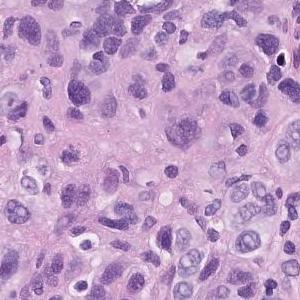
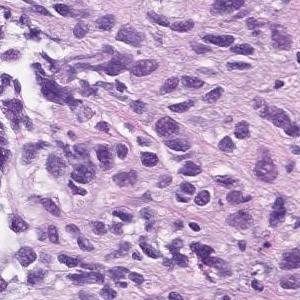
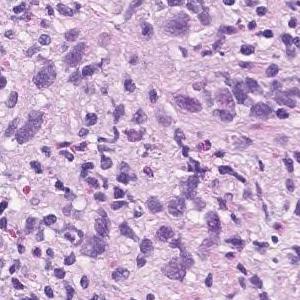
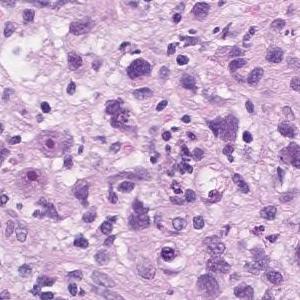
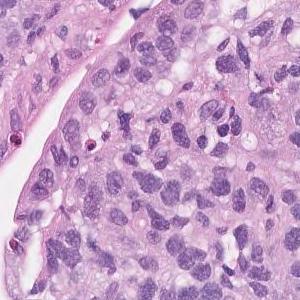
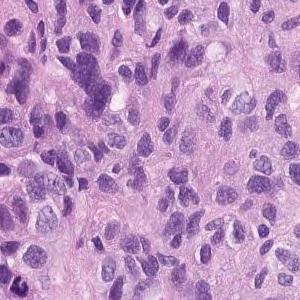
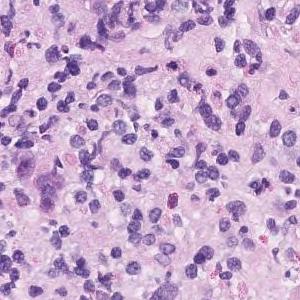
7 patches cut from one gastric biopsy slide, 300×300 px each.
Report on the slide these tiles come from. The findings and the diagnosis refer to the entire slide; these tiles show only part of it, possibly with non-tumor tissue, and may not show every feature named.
Atypical l cells with atypical nuclei under the mucosa growing in isolation and scattered. Poorly differentiated adenocarcinoma (poorly differentiated adenocarcinoma, non-solid type)
Classified as poorly differentiated adenocarcinoma, non-solid type.
"Non-solid type" is a category of the Japanese Classification of Gastric Carcinoma.
